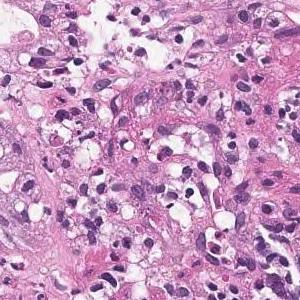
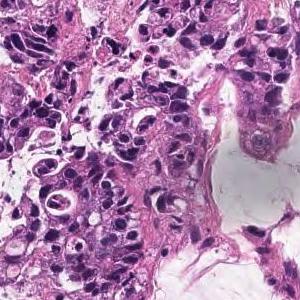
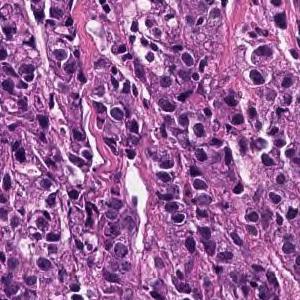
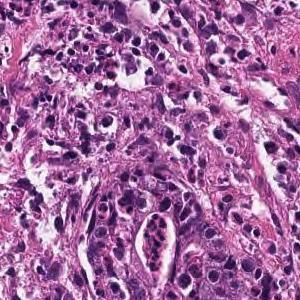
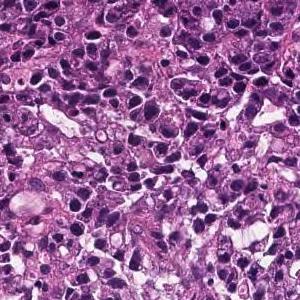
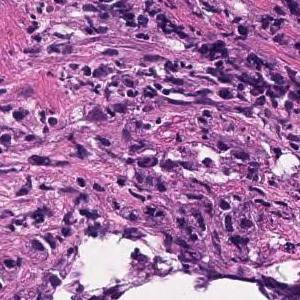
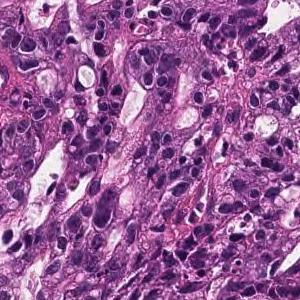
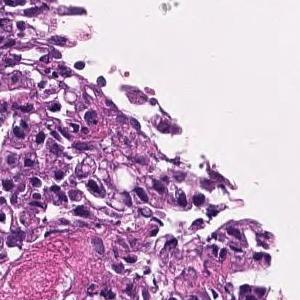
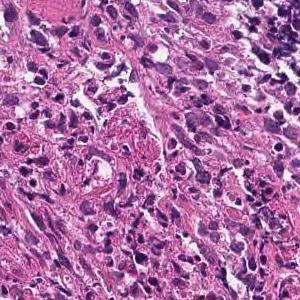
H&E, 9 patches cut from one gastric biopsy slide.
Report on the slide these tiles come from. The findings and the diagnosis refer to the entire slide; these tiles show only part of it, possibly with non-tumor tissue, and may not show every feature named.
Medium to small, irregular glandular ducts are formed in the superficial epithelium, and in some cases, the glandular ducts are fused to show solid alveolar lesions and infiltrating tumor tissue is observed. Moderately to poorly differentiated adenocarcinoma.
